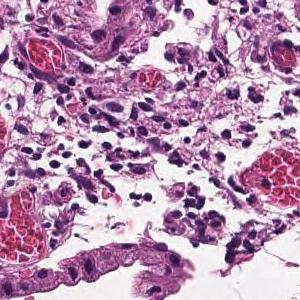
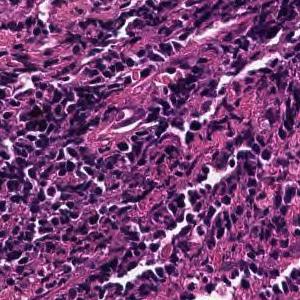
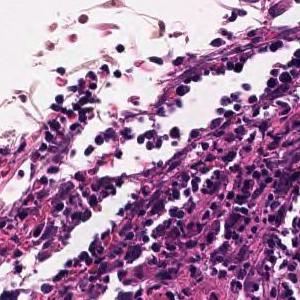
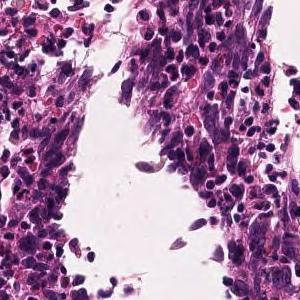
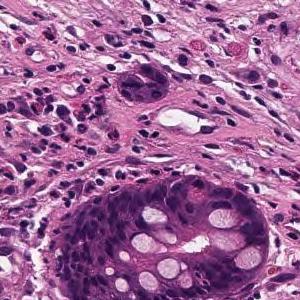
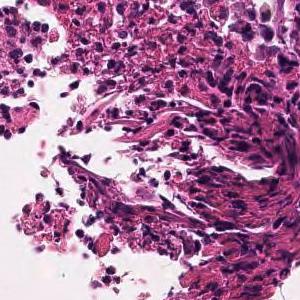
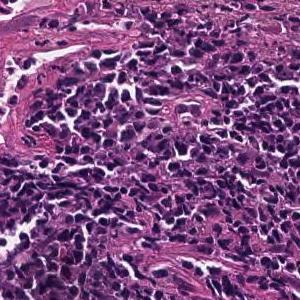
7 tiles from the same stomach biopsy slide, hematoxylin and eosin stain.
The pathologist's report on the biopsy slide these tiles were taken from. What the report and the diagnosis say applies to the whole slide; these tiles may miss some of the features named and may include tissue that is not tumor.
Tumor tissue consisting of cord-like or small, irregular glandular ducts fused and infiltrated is observed in the superficial epithelium. Poorly differentiated adenocarcinoma, non-solid type
The non-solid type named here is a Japanese Classification of Gastric Carcinoma category.
